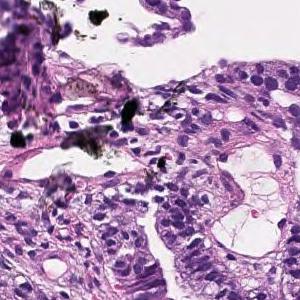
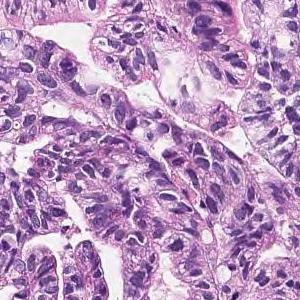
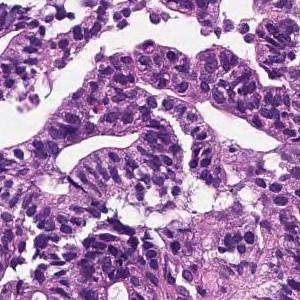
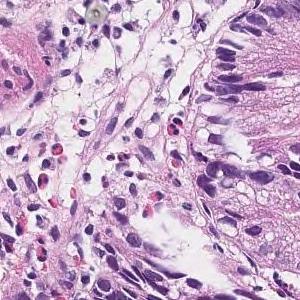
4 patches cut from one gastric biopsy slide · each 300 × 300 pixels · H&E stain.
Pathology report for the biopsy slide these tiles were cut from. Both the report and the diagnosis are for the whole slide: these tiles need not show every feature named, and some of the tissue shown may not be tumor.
In the superficial epithelium, tumor tissue that invades by forming medium-sized to small, irregular ducts is observed. Moderately differentiated adenocarcinoma.
Histologic type: Moderately differentiated tubular adenocarcinoma.
